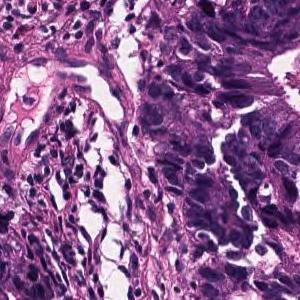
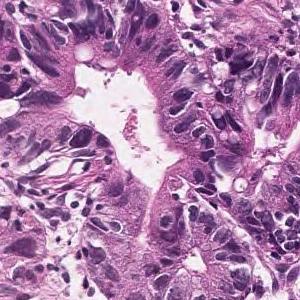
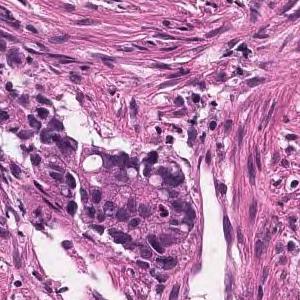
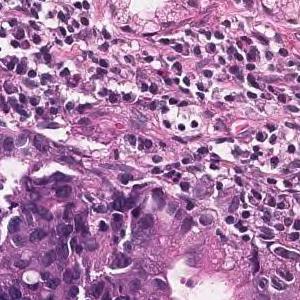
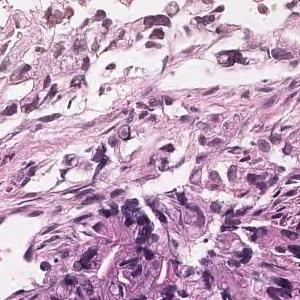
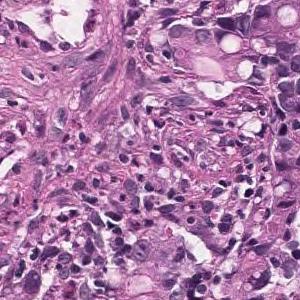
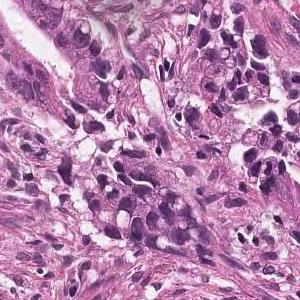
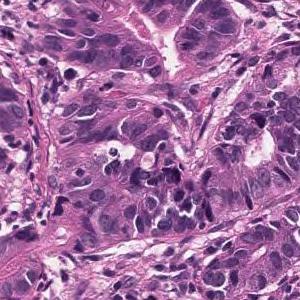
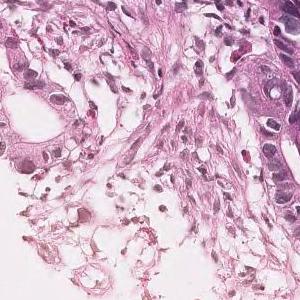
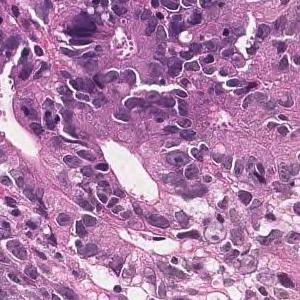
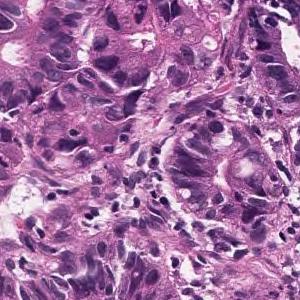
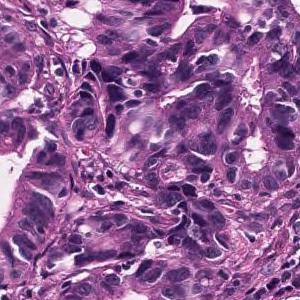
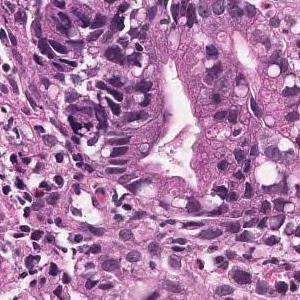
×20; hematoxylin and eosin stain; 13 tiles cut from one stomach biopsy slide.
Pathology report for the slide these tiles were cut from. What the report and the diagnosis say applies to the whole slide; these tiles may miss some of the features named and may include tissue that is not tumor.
In the superficial epithelium, tumor tissue is found in which medium-sized irregular gland ducts fuse with each other and infiltrate. moderately differentiated tubular adenocarcinoma
